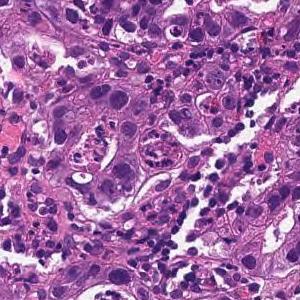
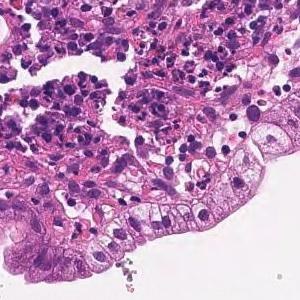
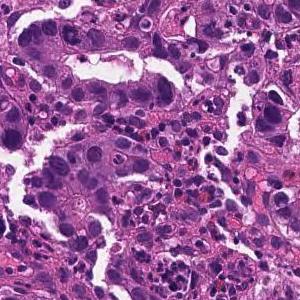
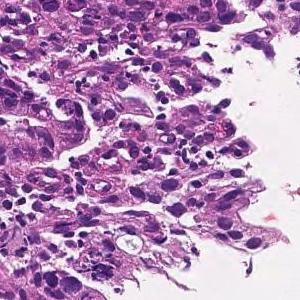
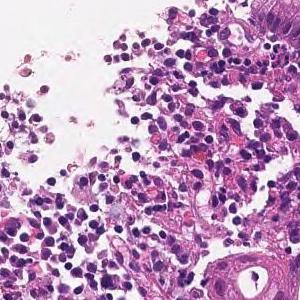
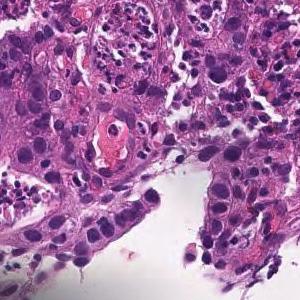
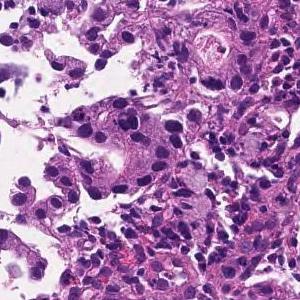
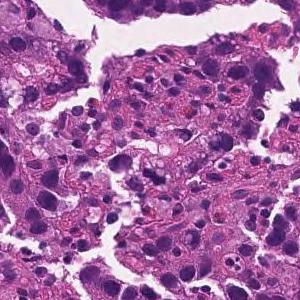
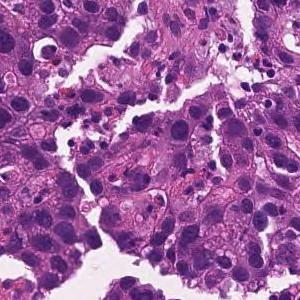
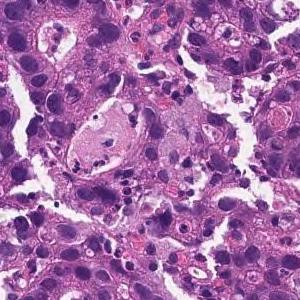
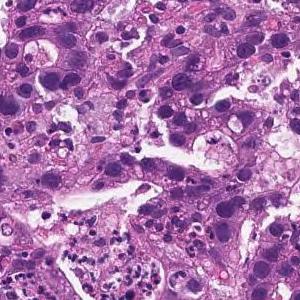
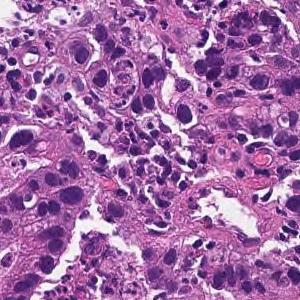
12 image tiles from a single gastric biopsy slide · 300 × 300 pixels each · H&E · 20× magnification.
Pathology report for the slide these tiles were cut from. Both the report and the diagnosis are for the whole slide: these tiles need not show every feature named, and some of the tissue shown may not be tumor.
Medium to small, irregular glandular ducts are formed in the superficial epithelium, and in some cases, the glandular ducts are fused to show solid alveolar lesions and infiltrating tumor tissue is observed. Moderately to poorly differentiated adenocarcinoma.
